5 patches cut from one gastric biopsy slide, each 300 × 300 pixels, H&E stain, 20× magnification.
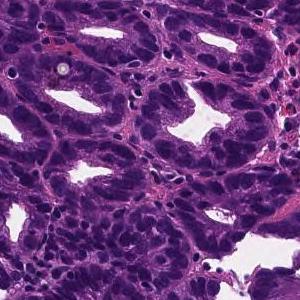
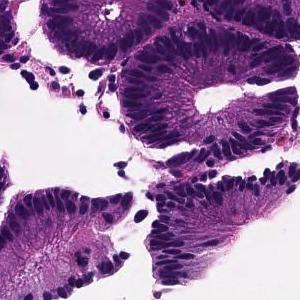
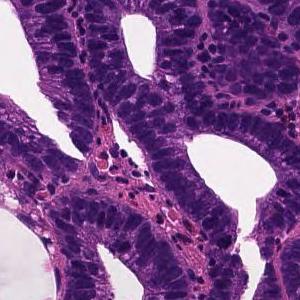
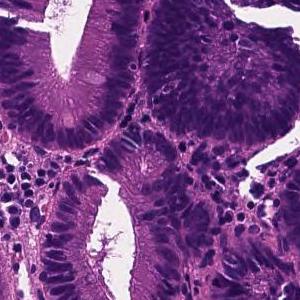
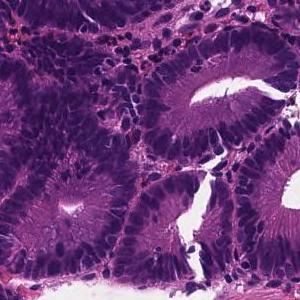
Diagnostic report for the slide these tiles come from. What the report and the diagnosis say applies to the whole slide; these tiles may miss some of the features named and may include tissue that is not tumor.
Tumor tissue in which medium to small irregular ducts infiltrate and proliferate in the submucosa can be seen in the epithelium. Well differentiated tubular adenocarcinoma
